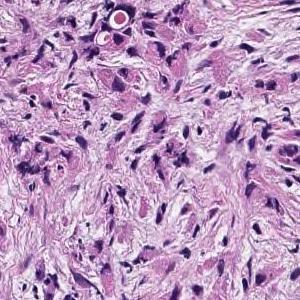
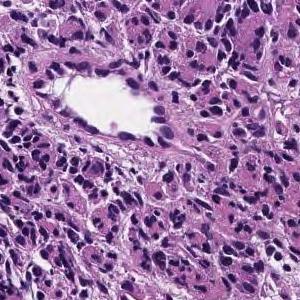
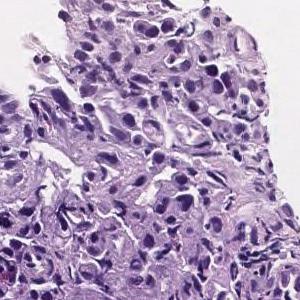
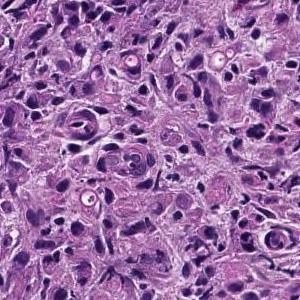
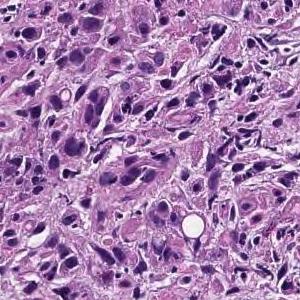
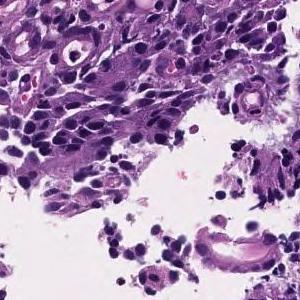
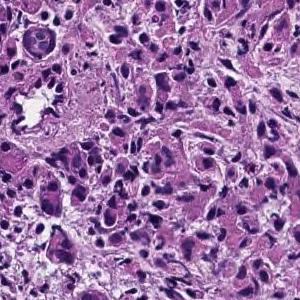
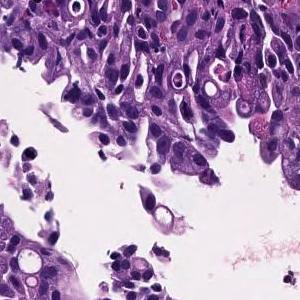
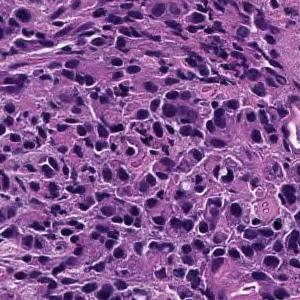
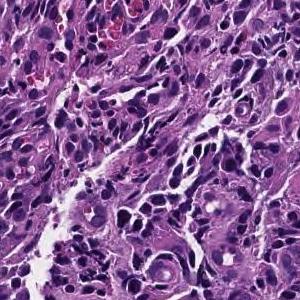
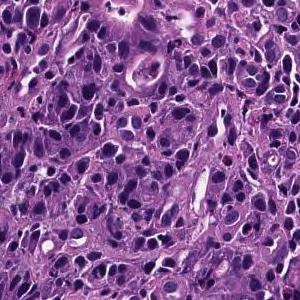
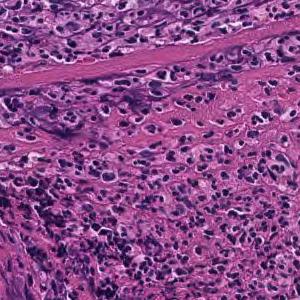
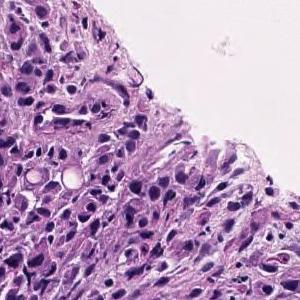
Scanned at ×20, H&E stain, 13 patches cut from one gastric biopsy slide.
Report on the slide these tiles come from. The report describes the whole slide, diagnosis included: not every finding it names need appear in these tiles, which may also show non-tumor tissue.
The superficial epithelium shows a large sheet-like shape, and some tumor tissue infiltrates with small irregular ducts. Poorly differentiated adenocarcinoma, solid-type
Histologic type: Poorly differentiated adenocarcinoma, solid type (Japanese Classification of Gastric Carcinoma). The WHO 2019 equivalent is tubular adenocarcinoma, poorly differentiated.
